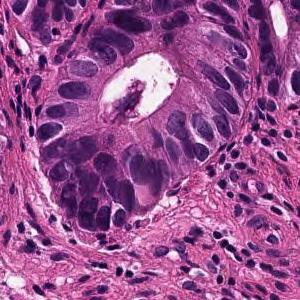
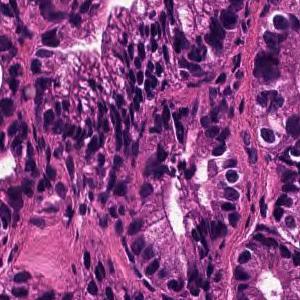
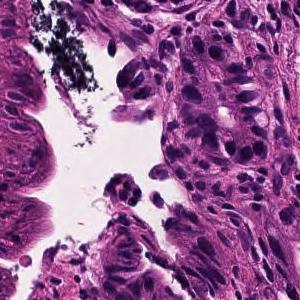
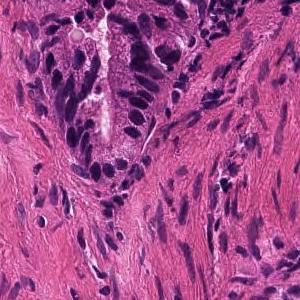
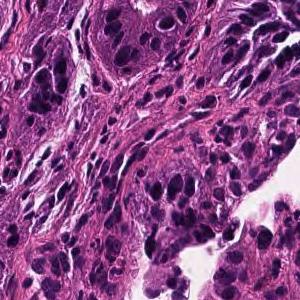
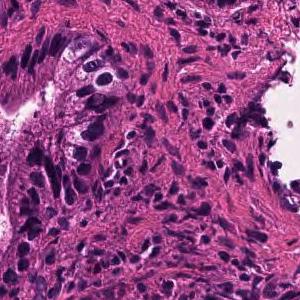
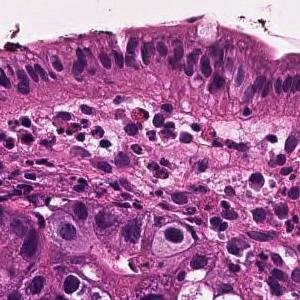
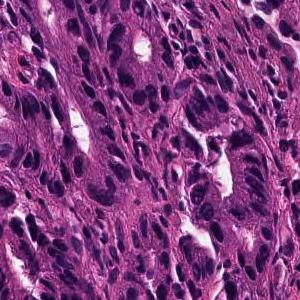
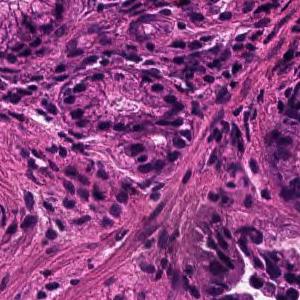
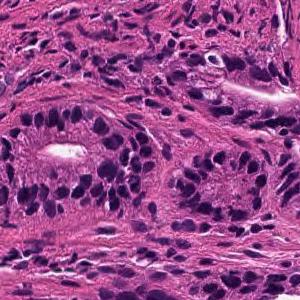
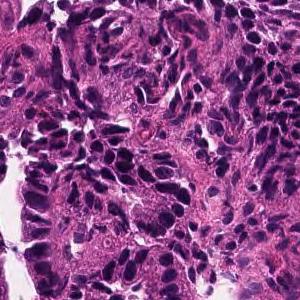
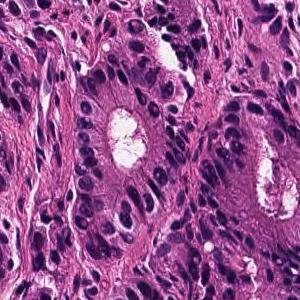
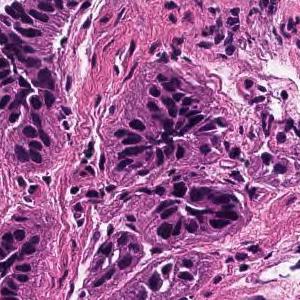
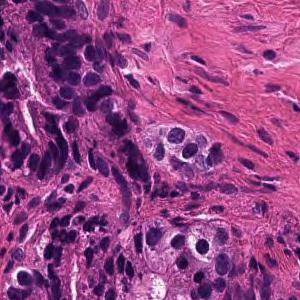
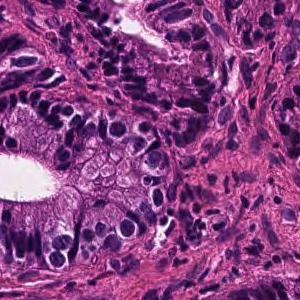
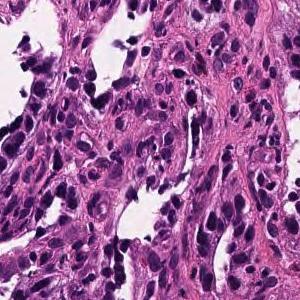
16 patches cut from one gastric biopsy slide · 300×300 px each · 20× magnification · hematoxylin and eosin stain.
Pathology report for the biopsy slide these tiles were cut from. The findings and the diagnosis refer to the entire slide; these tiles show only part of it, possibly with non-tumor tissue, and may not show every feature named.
In the superficial epithelium, tumor tissue that invades by forming medium-sized to small, irregular ducts is observed. Well differentiated tubular adenocarcinoma.
